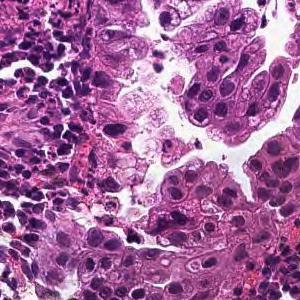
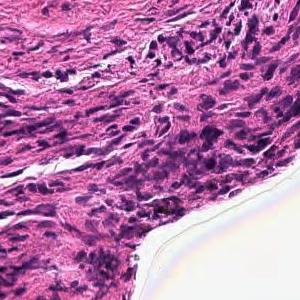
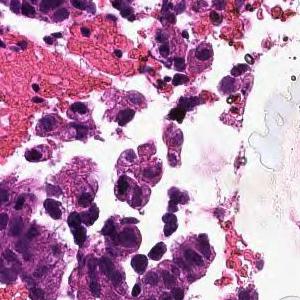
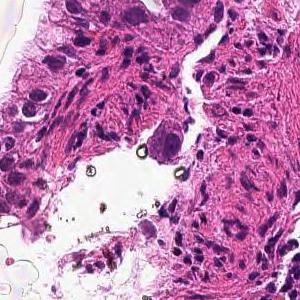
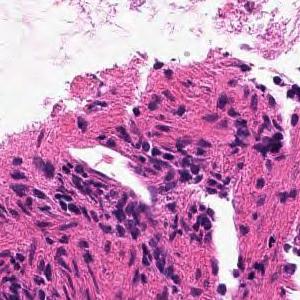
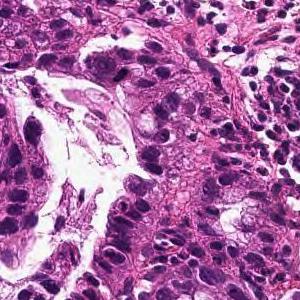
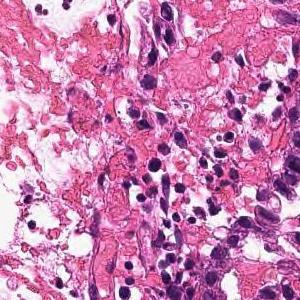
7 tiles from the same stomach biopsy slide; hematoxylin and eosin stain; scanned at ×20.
Report on the slide these tiles come from. What the report and the diagnosis say applies to the whole slide; these tiles may miss some of the features named and may include tissue that is not tumor.
From the superficial epithelium to the muscularis mucosae, tumor tissue infiltrating by forming medium-sized irregular gland ducts is observed. Well differentiated tubular adenocarcinoma
